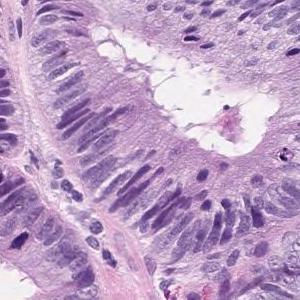
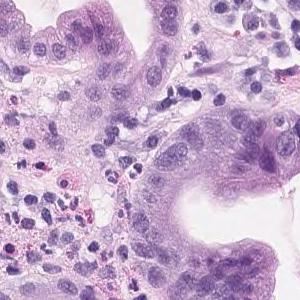
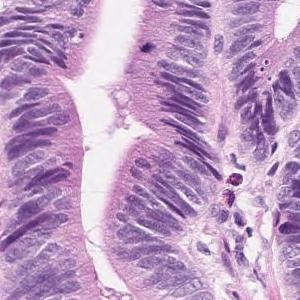
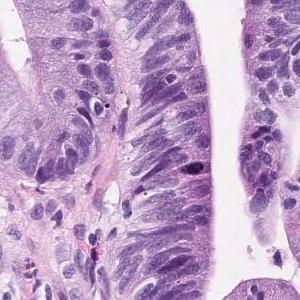
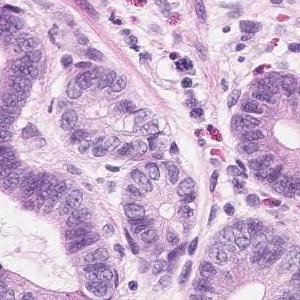
5 tiles from the same stomach biopsy slide, 300×300 px each.
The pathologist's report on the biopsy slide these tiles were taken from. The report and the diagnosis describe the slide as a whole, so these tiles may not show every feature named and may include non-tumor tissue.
Short atypical epithelium with swelling of the nucleus shows proliferating, large and small irregular ductal structures. Well to moderately differentiated tubular adenocarcinoma (well differentiated tubular adenocarcinoma-moderately differentiated tubular adenocarcinoma)
Tumor subtype: well to moderately differentiated tubular adenocarcinoma.
